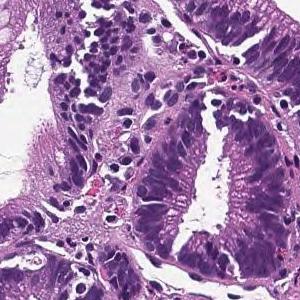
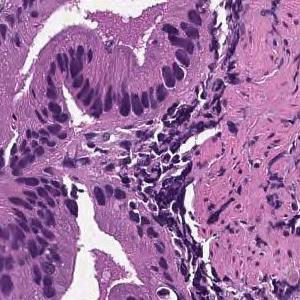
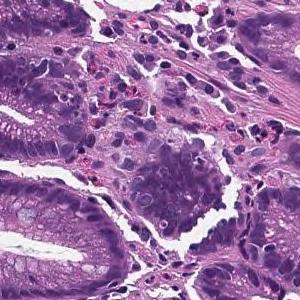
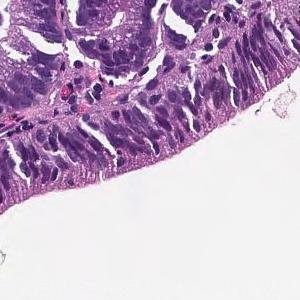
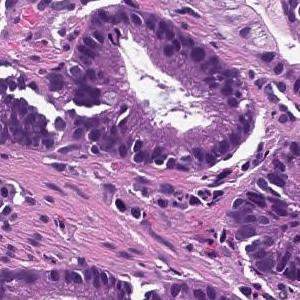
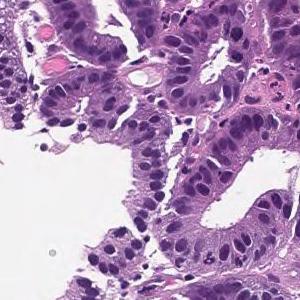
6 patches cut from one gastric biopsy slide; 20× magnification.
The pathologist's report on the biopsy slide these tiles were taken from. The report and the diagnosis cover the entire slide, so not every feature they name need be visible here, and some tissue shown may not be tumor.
From the superficial epithelium to the muscularis mucosae, tumor tissue consisting of medium-sized and irregular glandular ducts infiltrating is observed. Well differentiated tubular adenocarcinoma
